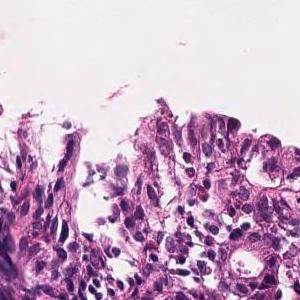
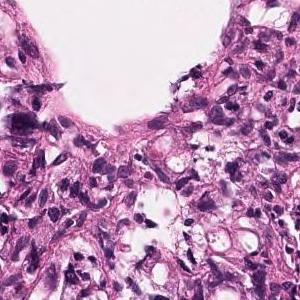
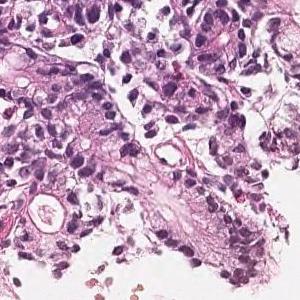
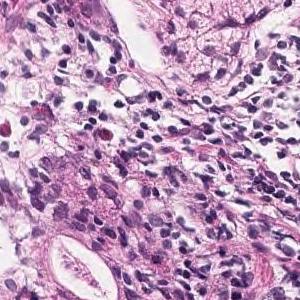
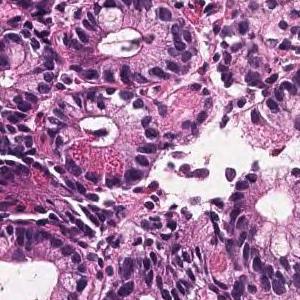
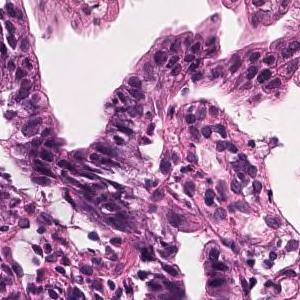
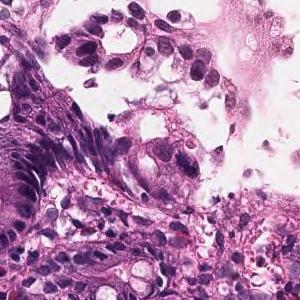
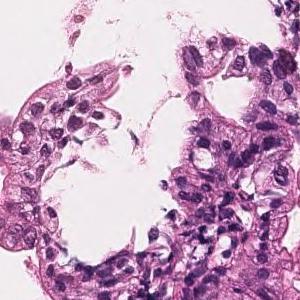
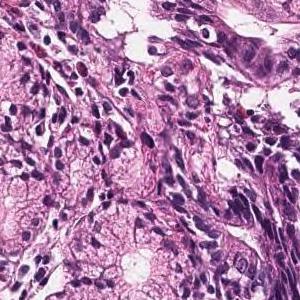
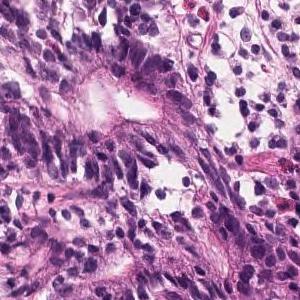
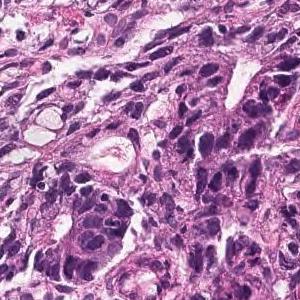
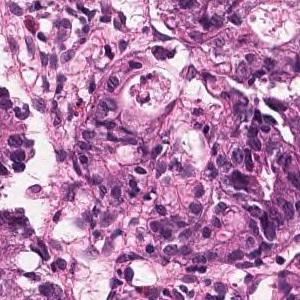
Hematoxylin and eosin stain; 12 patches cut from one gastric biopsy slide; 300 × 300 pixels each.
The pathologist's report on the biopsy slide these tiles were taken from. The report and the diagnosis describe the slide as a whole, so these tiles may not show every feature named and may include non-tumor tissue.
On the superficial epithelium, tumor tissue consisting of large, irregular glandular ducts partially fused and infiltrated is observed. Well to moderately differentiated tubular adenocarcinoma (well differentiated tubular adenocarcinoma, moderately differentiated tubular adenocarcinoma)
Histological subtype: Well to moderately differentiated tubular adenocarcinoma.
